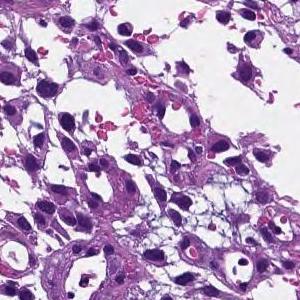
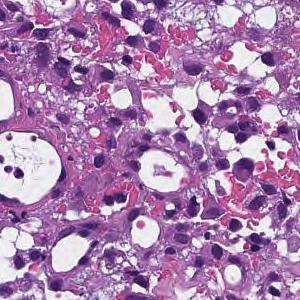
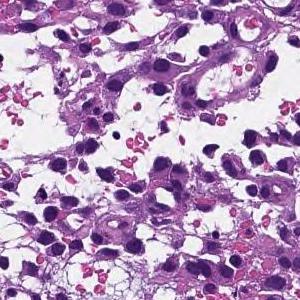
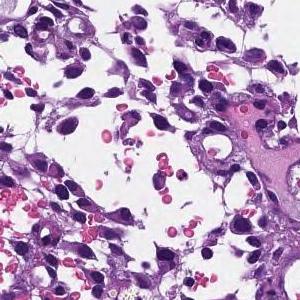
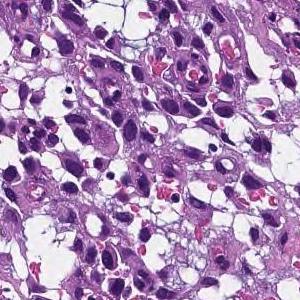
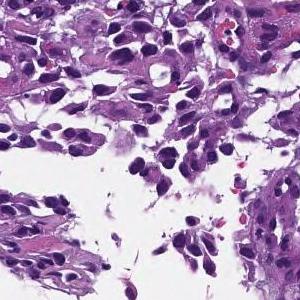
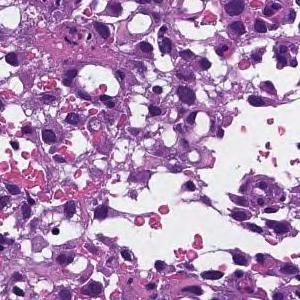
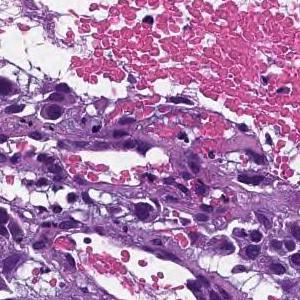
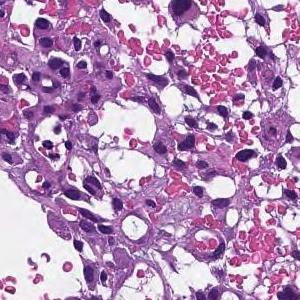
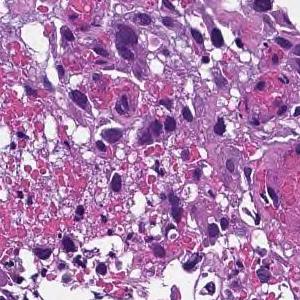
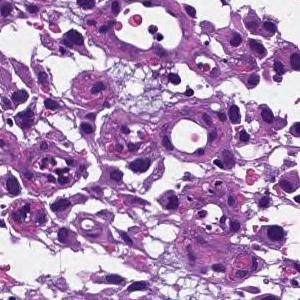
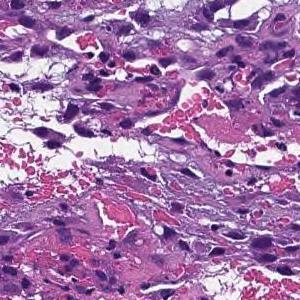
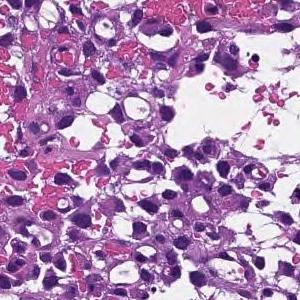
13 tiles from the same stomach biopsy slide, 300×300 px each, 20× magnification.
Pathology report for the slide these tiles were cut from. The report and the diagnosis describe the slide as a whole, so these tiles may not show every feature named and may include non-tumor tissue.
Tumor tissue consisting of cord-like or small, irregular glandular ducts fused and infiltrated is observed in the superficial epithelium. Poorly differentiated adenocarcinoma, non-solid type
"Non-solid type" is a category of the Japanese Classification of Gastric Carcinoma.
